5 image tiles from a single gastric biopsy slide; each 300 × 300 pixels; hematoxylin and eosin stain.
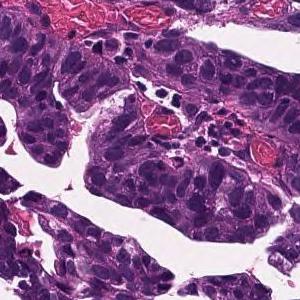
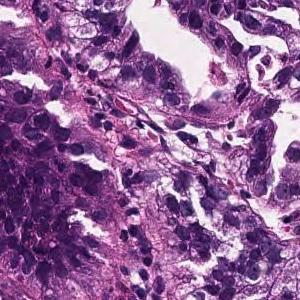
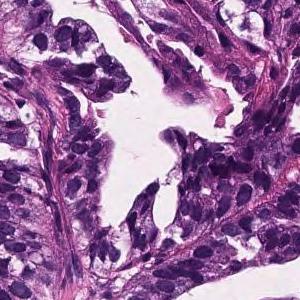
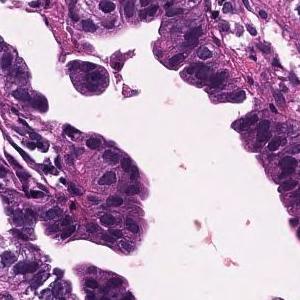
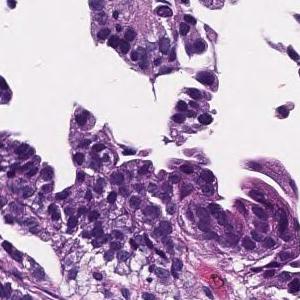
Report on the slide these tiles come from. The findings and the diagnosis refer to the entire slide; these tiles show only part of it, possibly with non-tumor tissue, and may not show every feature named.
In the lamina propria, tumor tissue that invades by forming medium-sized to small, irregular glandular ducts is observed. moderately differentiated tubular adenocarcinoma
